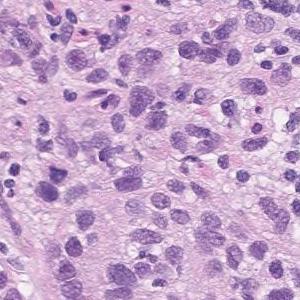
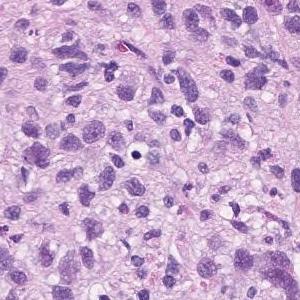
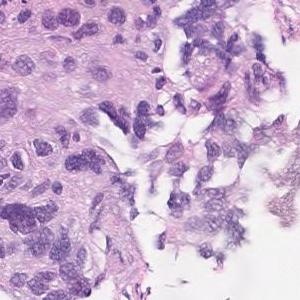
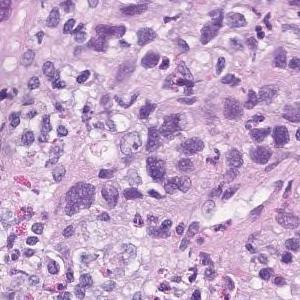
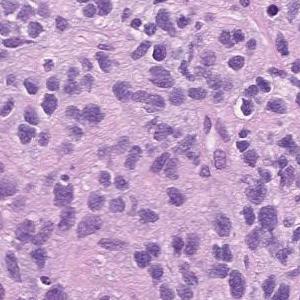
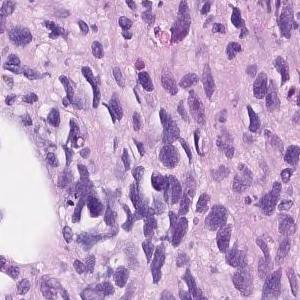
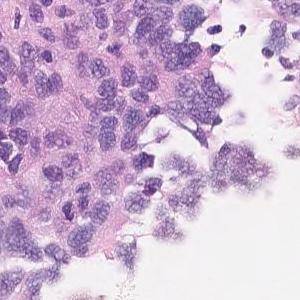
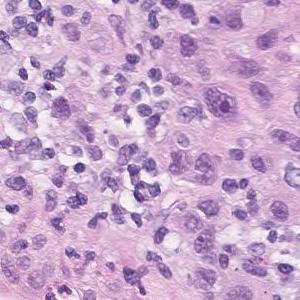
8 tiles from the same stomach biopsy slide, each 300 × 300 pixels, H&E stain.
Pathology report for the biopsy slide these tiles were cut from. What the report and the diagnosis say applies to the whole slide; these tiles may miss some of the features named and may include tissue that is not tumor.
Atypical l cells with atypical nuclei under the mucosa growing in isolation and scattered. Poorly differentiated adenocarcinoma (poorly differentiated adenocarcinoma, non-solid type)
Subtype: Poorly differentiated adenocarcinoma, non-solid type.
The term "non-solid type" comes from the Japanese Classification of Gastric Carcinoma.
